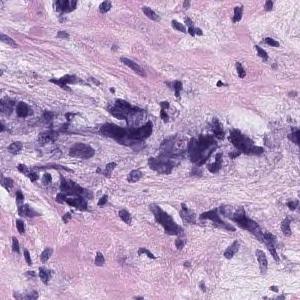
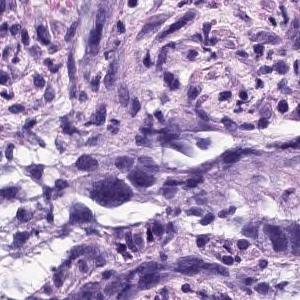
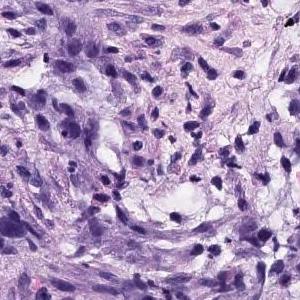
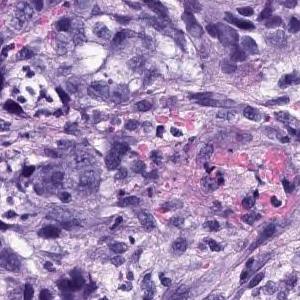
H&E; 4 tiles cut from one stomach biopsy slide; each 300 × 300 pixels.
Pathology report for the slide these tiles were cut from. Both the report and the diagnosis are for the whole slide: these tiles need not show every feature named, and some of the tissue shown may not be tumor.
Atypical l cells with atypical nuclei forming solid or diffuse vesicle nests and proliferating in a complex manner. Poorly differentiated adenocarcinoma, moderately differentiated tubular adenocarcinoma
Classified as moderately to poorly differentiated adenocarcinoma.
